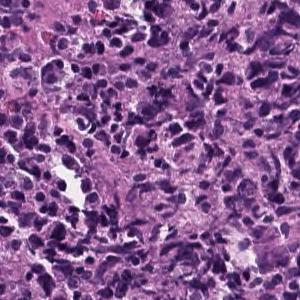
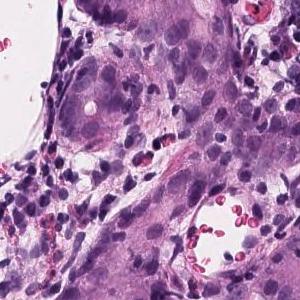
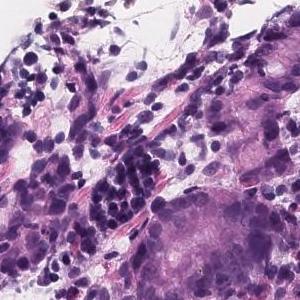
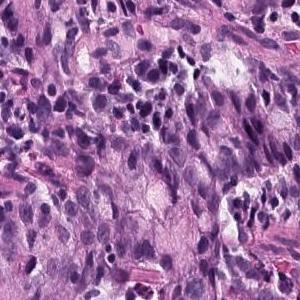
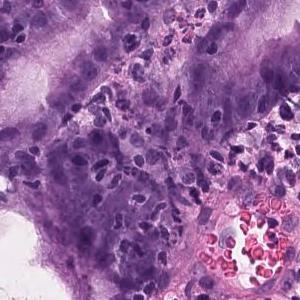
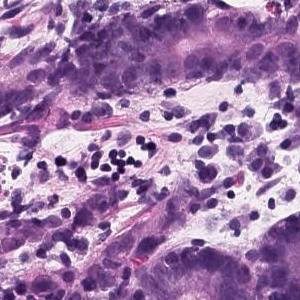
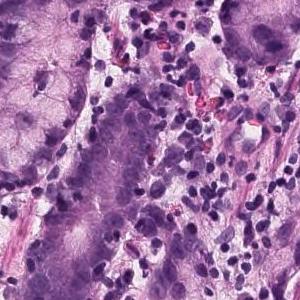
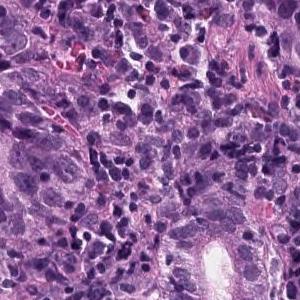
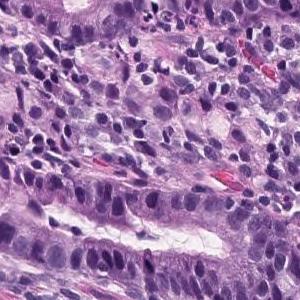
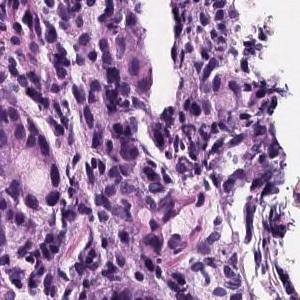
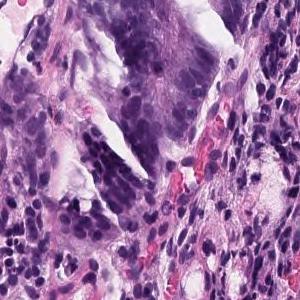
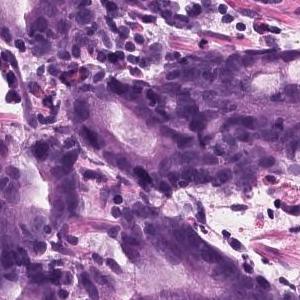
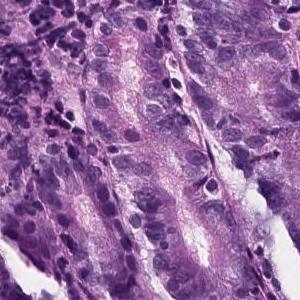
20× magnification, H&E stain, 13 patches cut from one gastric biopsy slide, each 300 × 300 pixels.
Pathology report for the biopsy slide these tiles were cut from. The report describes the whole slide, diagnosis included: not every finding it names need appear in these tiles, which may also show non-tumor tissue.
In the superficial epithelium, tumor tissue that invades by forming medium-sized to small, irregular ducts is observed. Moderately differentiated adenocarcinoma.
Subtype: Moderately differentiated tubular adenocarcinoma.
